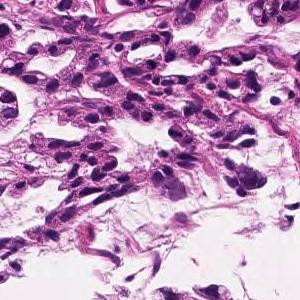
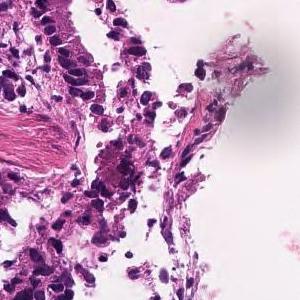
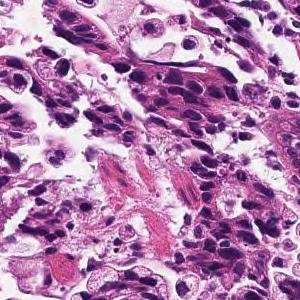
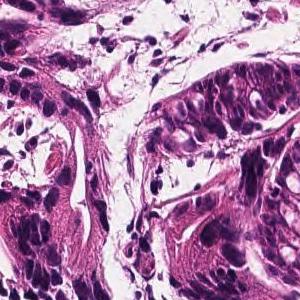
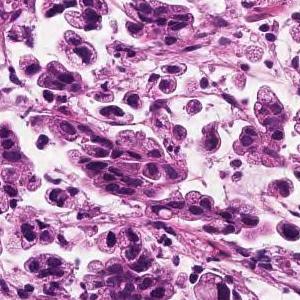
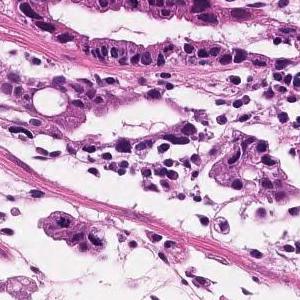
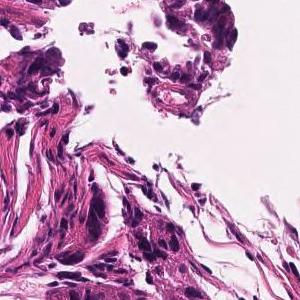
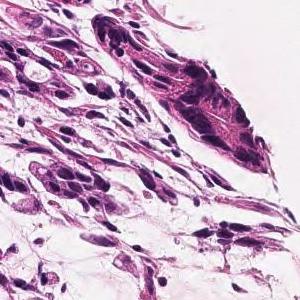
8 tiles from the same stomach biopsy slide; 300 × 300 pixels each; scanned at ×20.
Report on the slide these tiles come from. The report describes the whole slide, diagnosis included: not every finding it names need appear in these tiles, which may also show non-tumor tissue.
In the superficial epithelium, tumor tissue that invades by forming medium-sized to small, irregular ducts is observed. moderately differentiated tubular adenocarcinoma.
